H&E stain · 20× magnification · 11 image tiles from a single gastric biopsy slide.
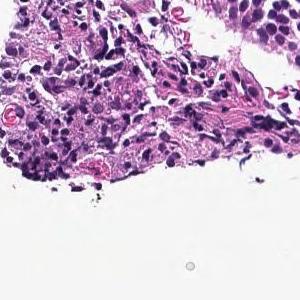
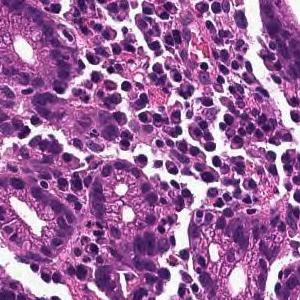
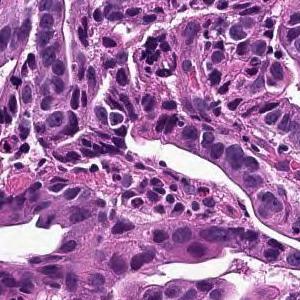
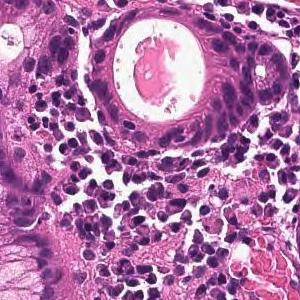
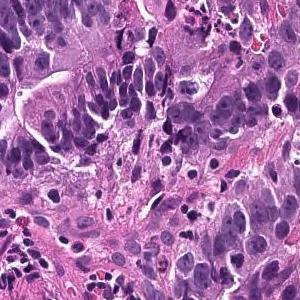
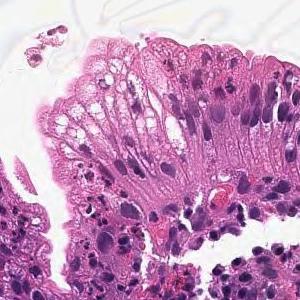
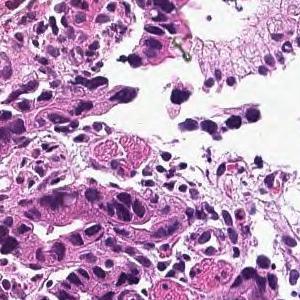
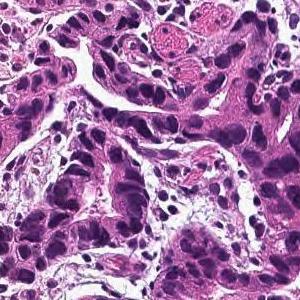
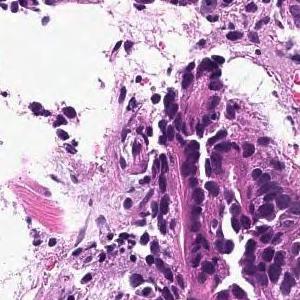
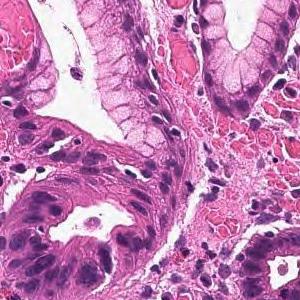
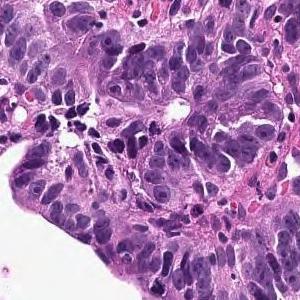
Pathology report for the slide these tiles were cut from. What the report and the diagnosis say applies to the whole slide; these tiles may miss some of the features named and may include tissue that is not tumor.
On the superficial epithelium, tumor tissue consisting of large, irregular glandular ducts partially fused and infiltrated is observed. Well to moderately differentiated tubular adenocarcinoma (well differentiated tubular adenocarcinoma, moderately differentiated tubular adenocarcinoma)
Histologic type: Well to moderately differentiated tubular adenocarcinoma.
